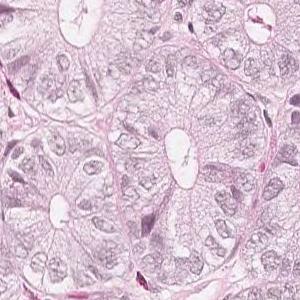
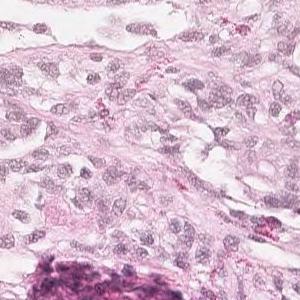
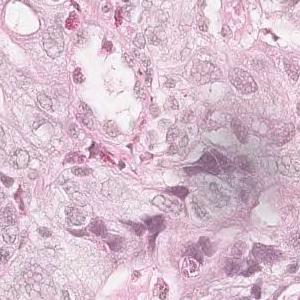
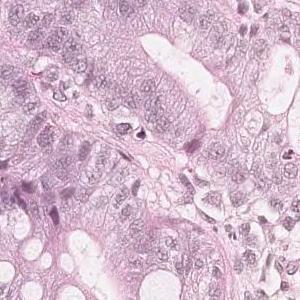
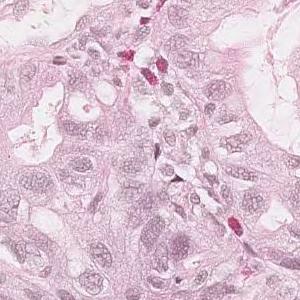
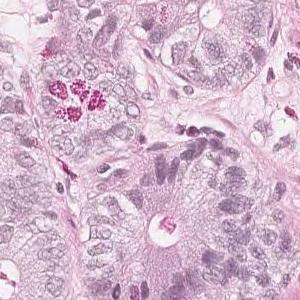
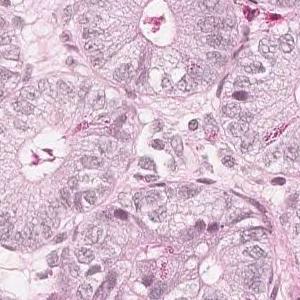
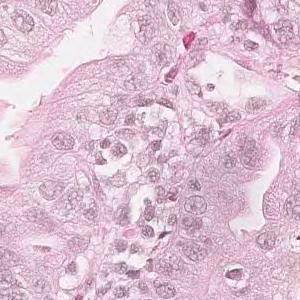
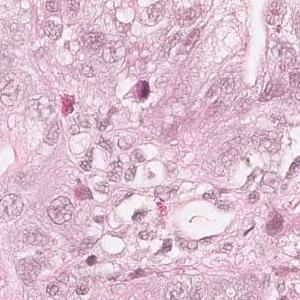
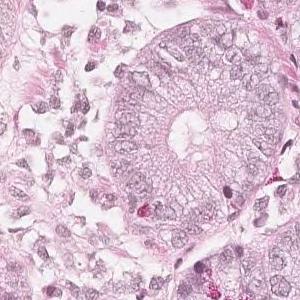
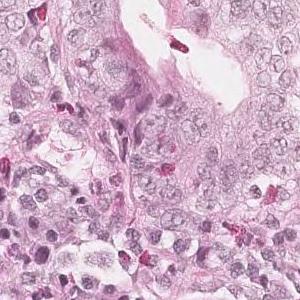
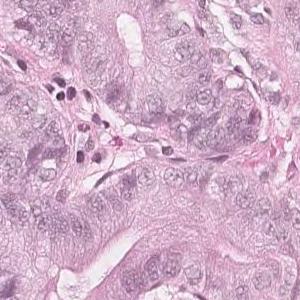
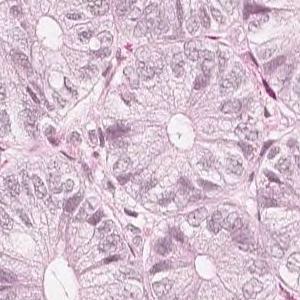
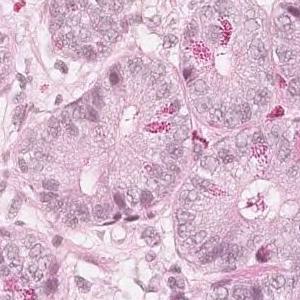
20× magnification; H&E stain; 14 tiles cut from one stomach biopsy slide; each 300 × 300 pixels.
Pathology report for the slide these tiles were cut from. The report and the diagnosis describe the slide as a whole, so these tiles may not show every feature named and may include non-tumor tissue.
Medium to small, irregular glandular ducts are formed in the superficial epithelium, and in some cases, the glandular ducts are fused to show solid alveolar lesions and infiltrating tumor tissue is observed. Moderately to poorly differentiated adenocarcinoma.
